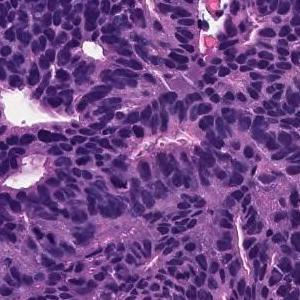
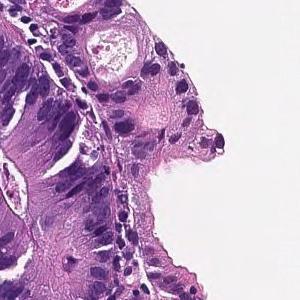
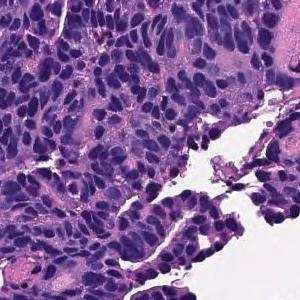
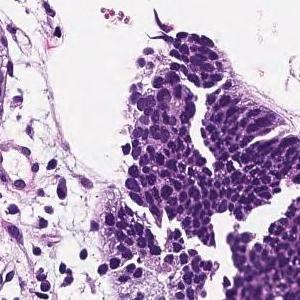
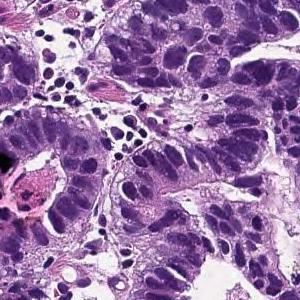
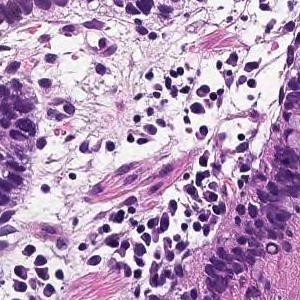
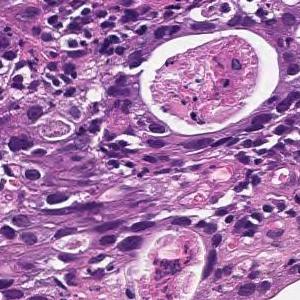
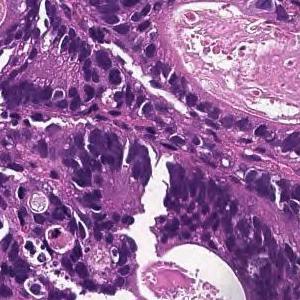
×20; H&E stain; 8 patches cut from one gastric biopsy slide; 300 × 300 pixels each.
Pathology report for the biopsy slide these tiles were cut from. The findings and the diagnosis refer to the entire slide; these tiles show only part of it, possibly with non-tumor tissue, and may not show every feature named.
In the superficial epithelium, tumor tissue that invades by forming medium-sized to small, irregular ducts is observed. moderately differentiated tubular adenocarcinoma.
